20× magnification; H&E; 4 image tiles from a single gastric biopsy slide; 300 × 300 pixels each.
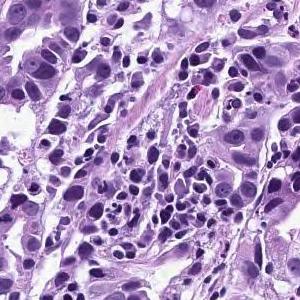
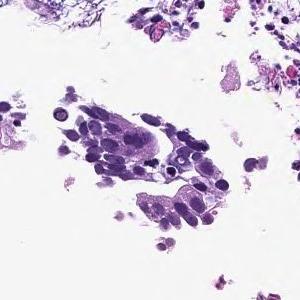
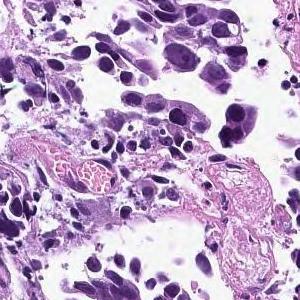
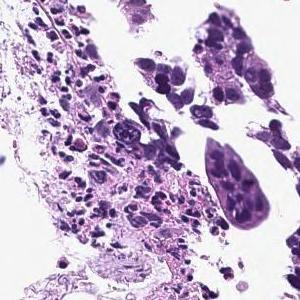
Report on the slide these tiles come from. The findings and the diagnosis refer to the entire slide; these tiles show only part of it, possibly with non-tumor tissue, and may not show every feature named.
In the superficial epithelium, tumor tissue that invades by forming medium-sized to small, irregular ducts is observed. moderately differentiated tubular adenocarcinoma.
